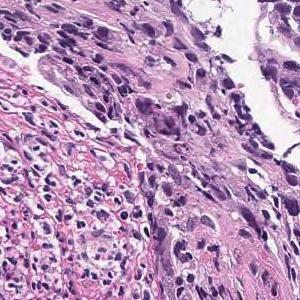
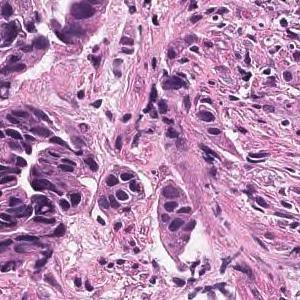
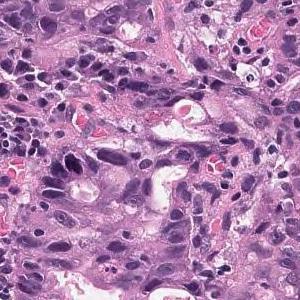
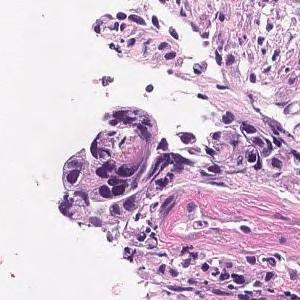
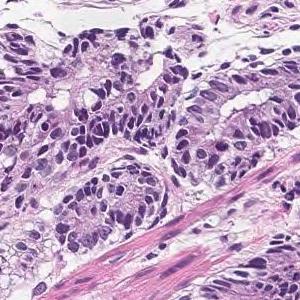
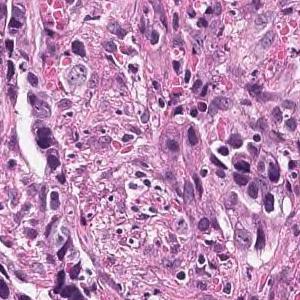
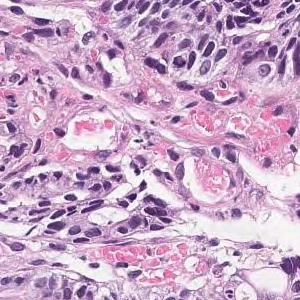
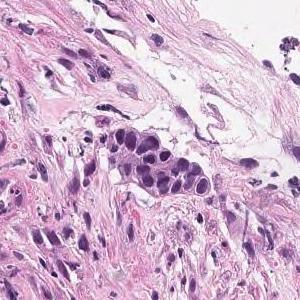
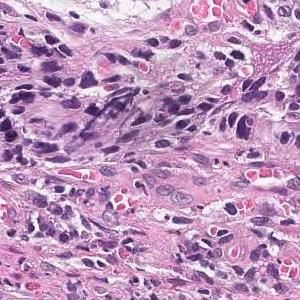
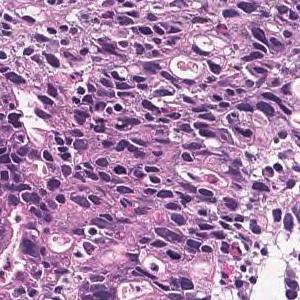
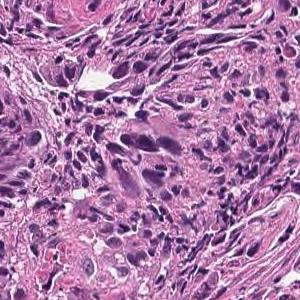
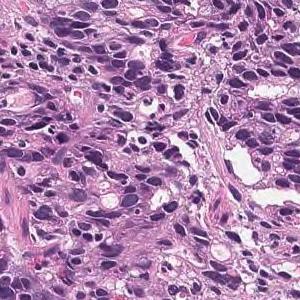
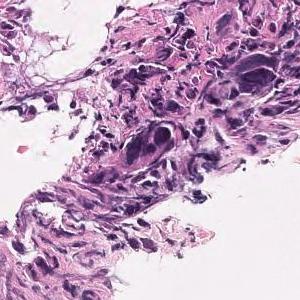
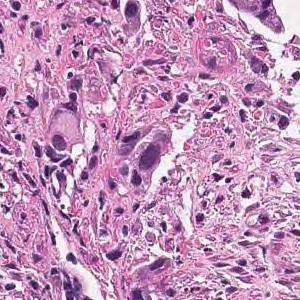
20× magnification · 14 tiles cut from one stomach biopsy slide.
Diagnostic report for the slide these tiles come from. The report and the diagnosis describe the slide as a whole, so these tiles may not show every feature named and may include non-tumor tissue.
Tumor cells are large, highly columnar, large club-shaped nuclei, and are associated with chromatin aggregation. Papillary adenocarcinoma.
